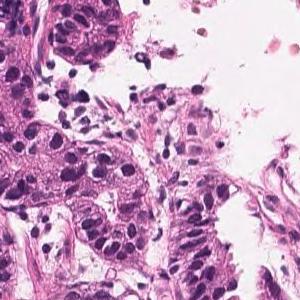
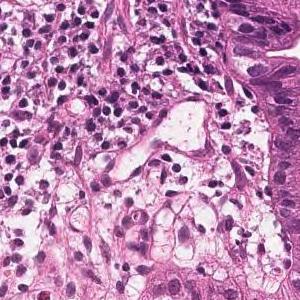
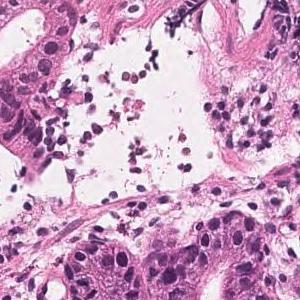
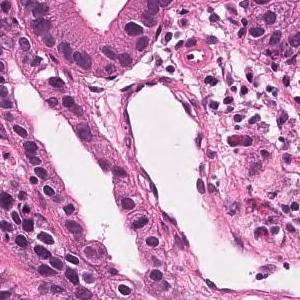
H&E stain · 4 tiles from the same stomach biopsy slide · 300 × 300 pixels each.
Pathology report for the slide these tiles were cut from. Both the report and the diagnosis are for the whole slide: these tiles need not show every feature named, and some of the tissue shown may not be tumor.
Tumor tissue consisting of medium-sized and irregular ducts is observed infiltrating in the superficial epithelium. Tumor cells are highly columnar, with nuclei aligned basolaterally and polarized. Well differentiated tubular adenocarcinoma.
